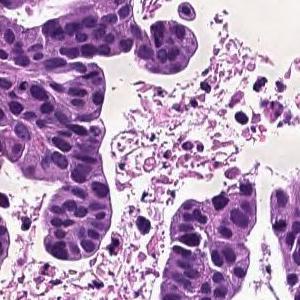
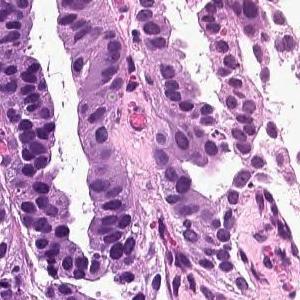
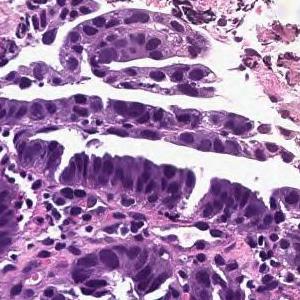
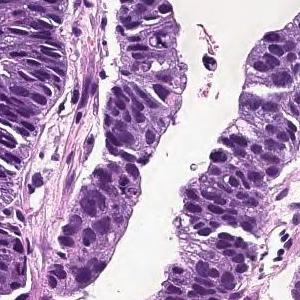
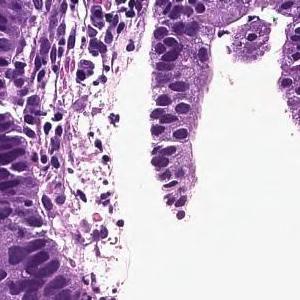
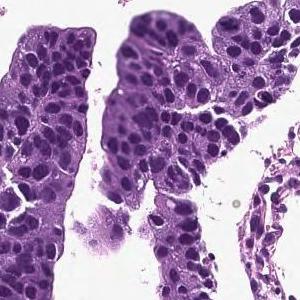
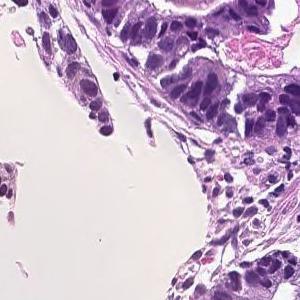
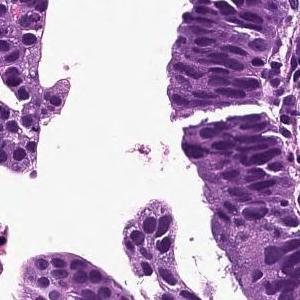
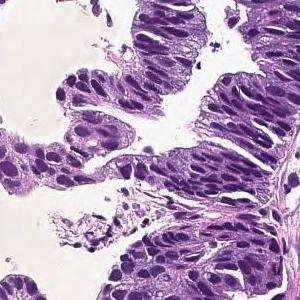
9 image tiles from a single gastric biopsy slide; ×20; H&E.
Pathology report for the slide these tiles were cut from. The report and the diagnosis describe the slide as a whole, so these tiles may not show every feature named and may include non-tumor tissue.
Tumor cells are large, highly columnar, large club-shaped nuclei, and are associated with chromatin aggregation. Papillary adenocarcinoma.
